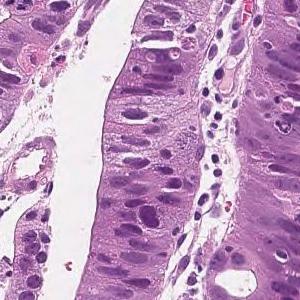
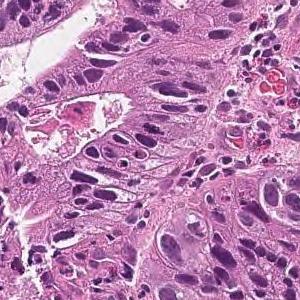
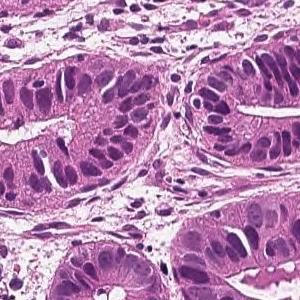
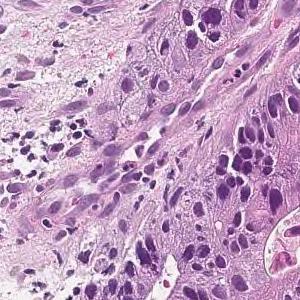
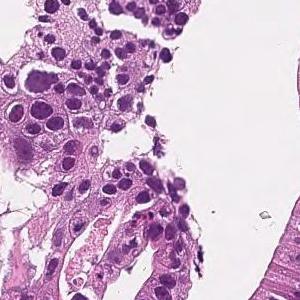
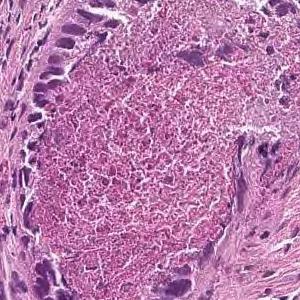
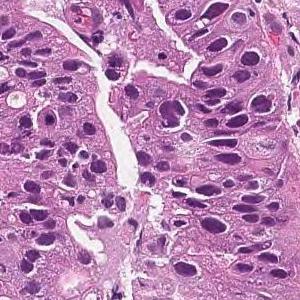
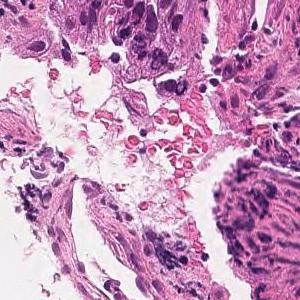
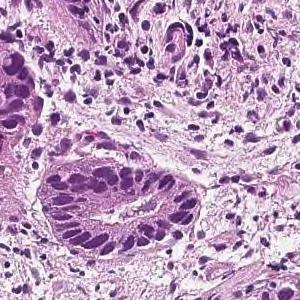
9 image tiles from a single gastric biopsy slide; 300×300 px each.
The pathologist's report on the biopsy slide these tiles were taken from. The report and the diagnosis describe the slide as a whole, so these tiles may not show every feature named and may include non-tumor tissue.
In the superficial epithelium, tumor tissue that invades by forming medium-sized to small, irregular ducts is observed. moderately differentiated tubular adenocarcinoma.
